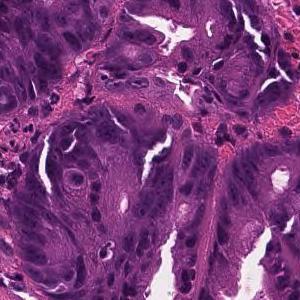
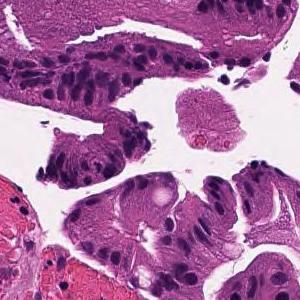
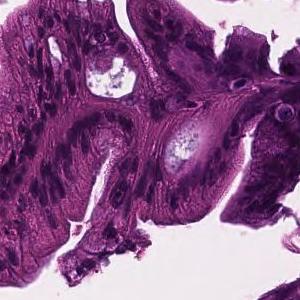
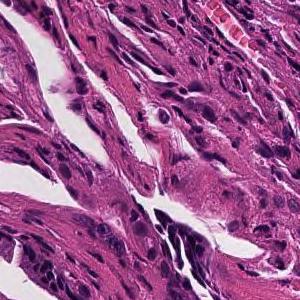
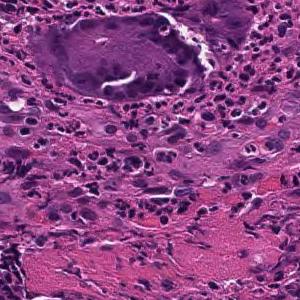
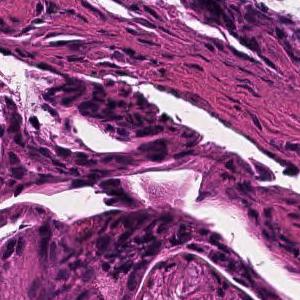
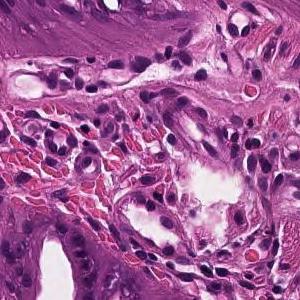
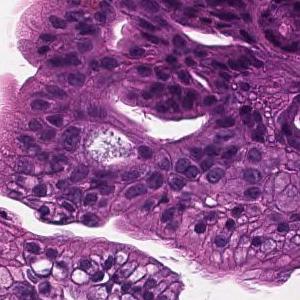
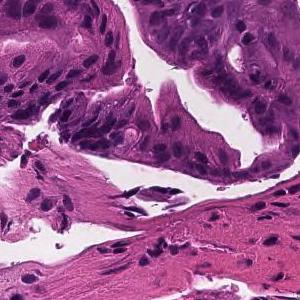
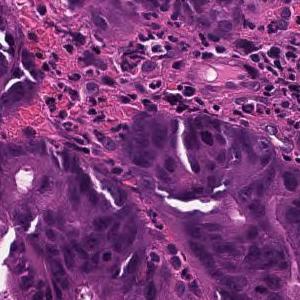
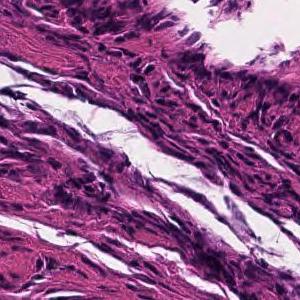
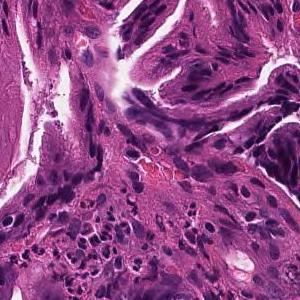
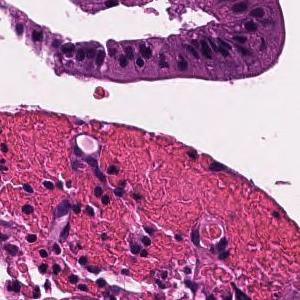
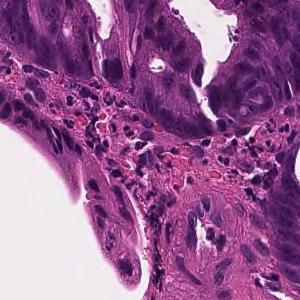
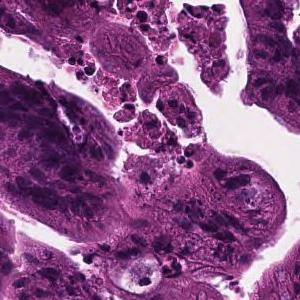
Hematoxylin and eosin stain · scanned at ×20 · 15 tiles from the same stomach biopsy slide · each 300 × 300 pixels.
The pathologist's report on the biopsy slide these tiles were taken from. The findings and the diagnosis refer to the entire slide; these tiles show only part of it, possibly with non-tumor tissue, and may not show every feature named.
Tumor cells are large, highly columnar, large club-shaped nuclei, and are associated with chromatin aggregation. Papillary adenocarcinoma.
